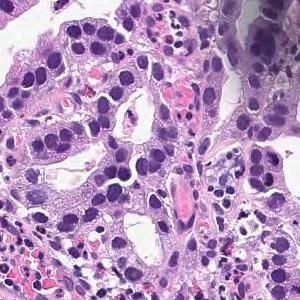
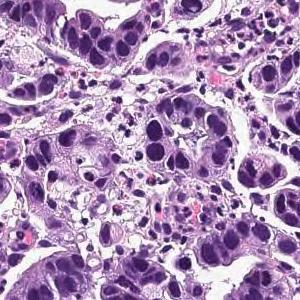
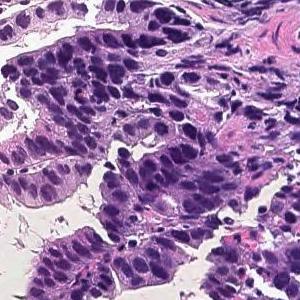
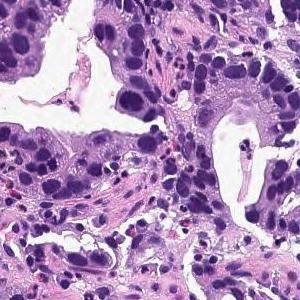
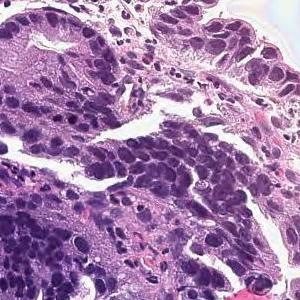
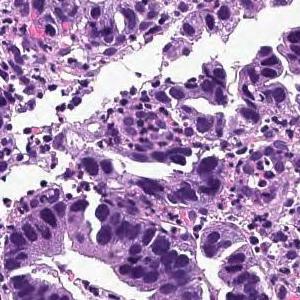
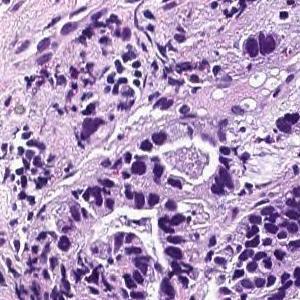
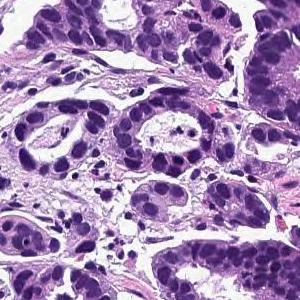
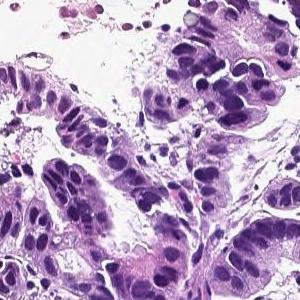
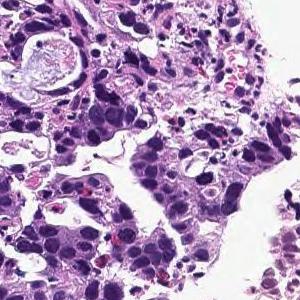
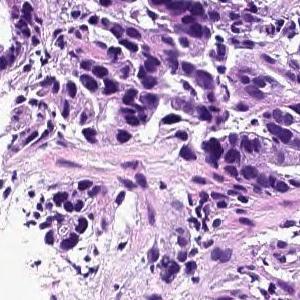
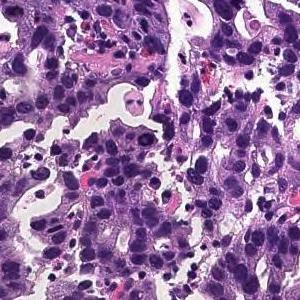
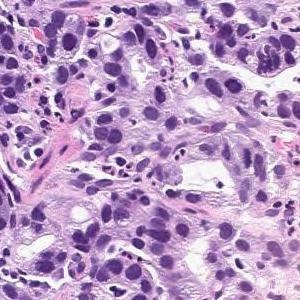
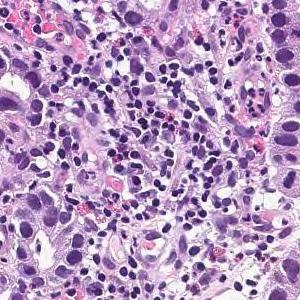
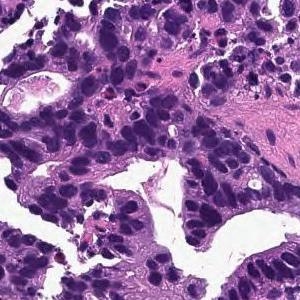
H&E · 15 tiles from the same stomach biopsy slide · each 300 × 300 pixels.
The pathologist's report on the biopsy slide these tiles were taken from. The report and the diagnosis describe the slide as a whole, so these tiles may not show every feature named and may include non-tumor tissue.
On the superficial epithelium, tumor tissue consisting of large irregular glandular ducts partially fused and infiltrated is observed. Well to moderately differentiated tubular adenocarcinoma (well differentiated tubular adenocarcinoma, moderately differentiated tubular adenocarcinoma)
Histological subtype: Well to moderately differentiated tubular adenocarcinoma.
